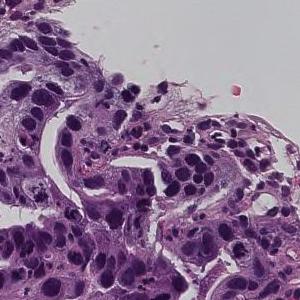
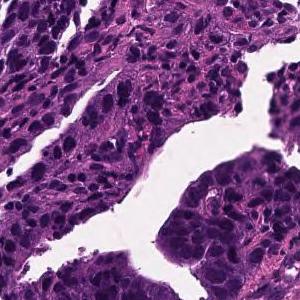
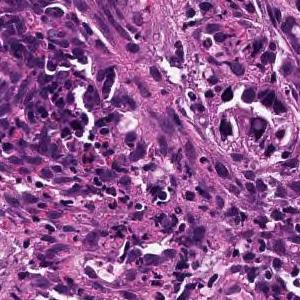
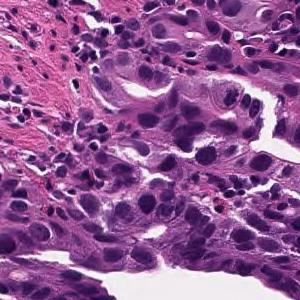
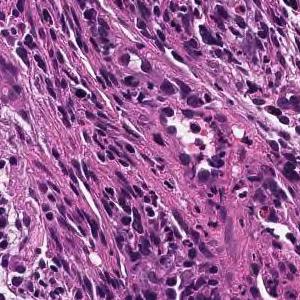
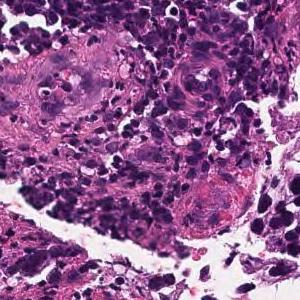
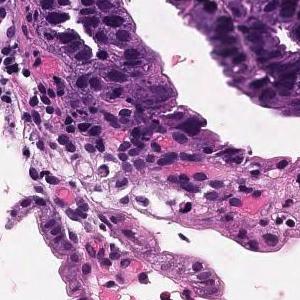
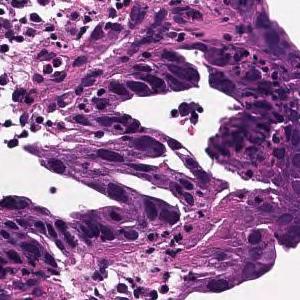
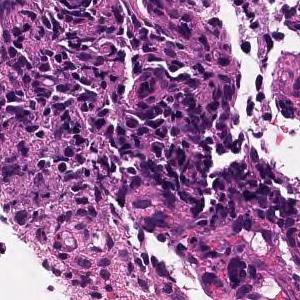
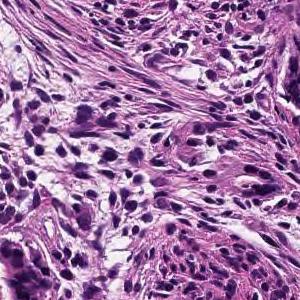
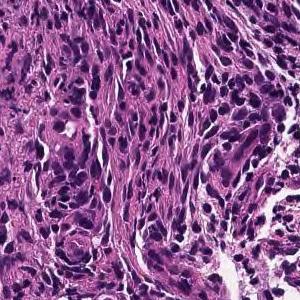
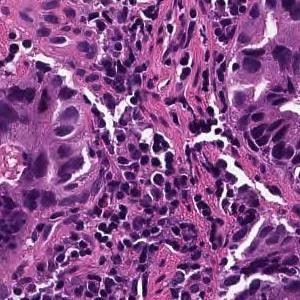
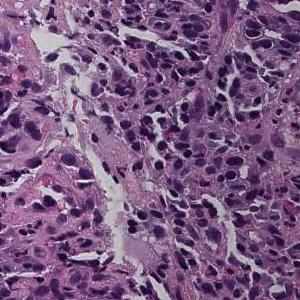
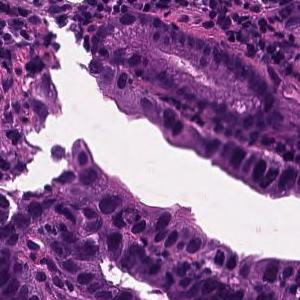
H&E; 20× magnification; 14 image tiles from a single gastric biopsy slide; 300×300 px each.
Pathology report for the slide these tiles were cut from. The report and the diagnosis cover the entire slide, so not every feature they name need be visible here, and some tissue shown may not be tumor.
On the superficial epithelium, tumor tissue consisting of large irregular glandular ducts partially fused and infiltrated is observed. Well to moderately differentiated tubular adenocarcinoma (well differentiated tubular adenocarcinoma, moderately differentiated tubular adenocarcinoma)
Subtype: Well to moderately differentiated tubular adenocarcinoma.
